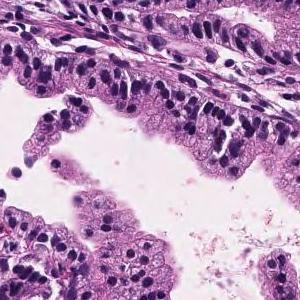
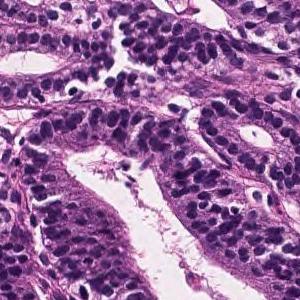
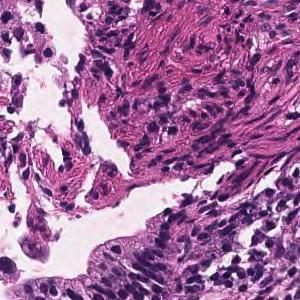
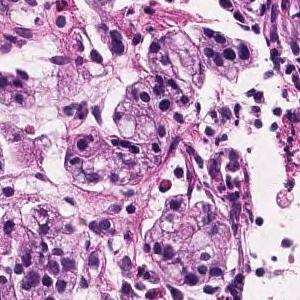
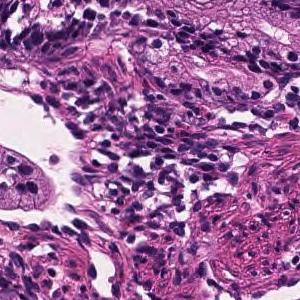
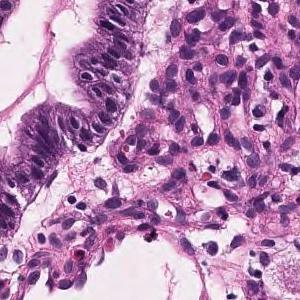
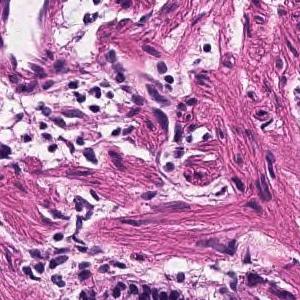
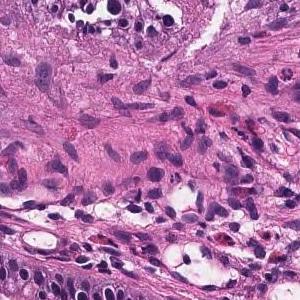
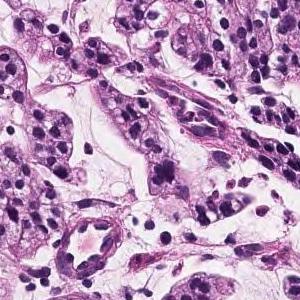
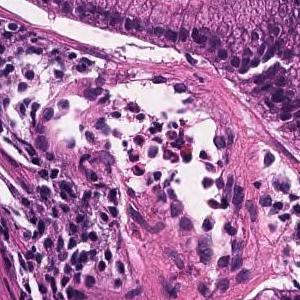
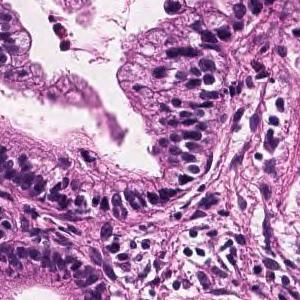
11 tiles from the same stomach biopsy slide · 300×300 px each · H&E · scanned at ×20.
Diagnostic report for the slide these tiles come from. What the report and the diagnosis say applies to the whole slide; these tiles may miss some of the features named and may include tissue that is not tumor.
Tumor tissue consisting of large papillary structures or irregular glandular ducts partially fused and infiltrated is observed in the superficial epithelium. Well to moderately differentiated tubular adenocarcinoma.
Dataset label: moderately differentiated tubular adenocarcinoma.
